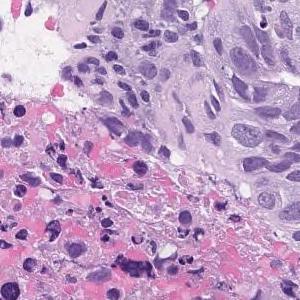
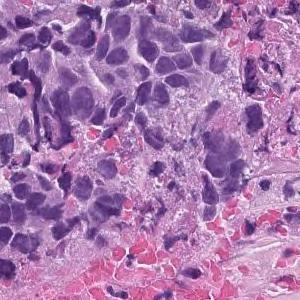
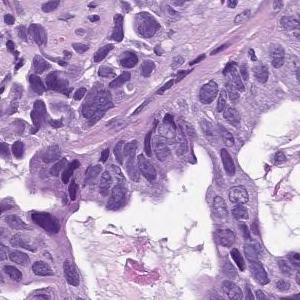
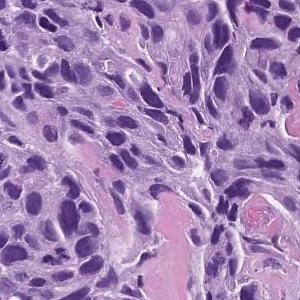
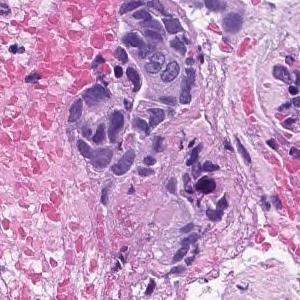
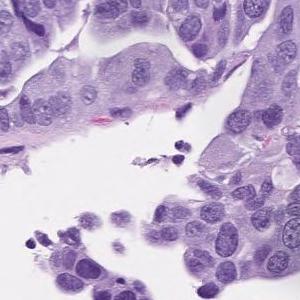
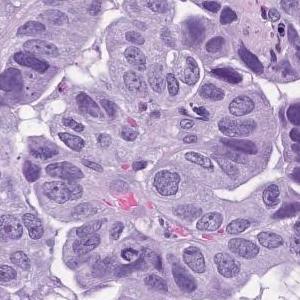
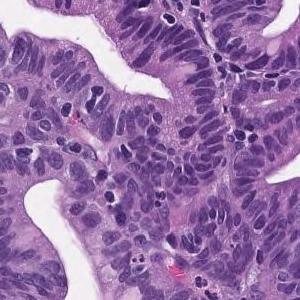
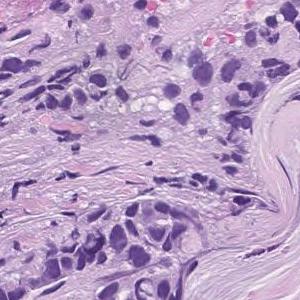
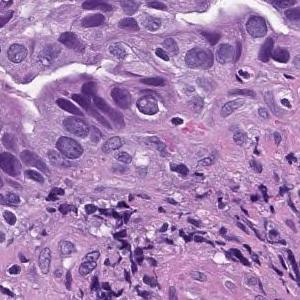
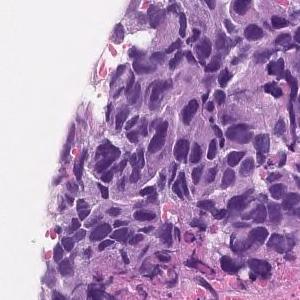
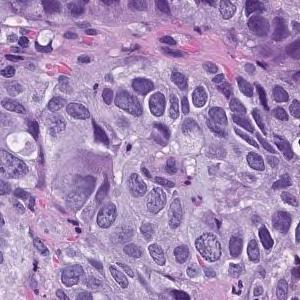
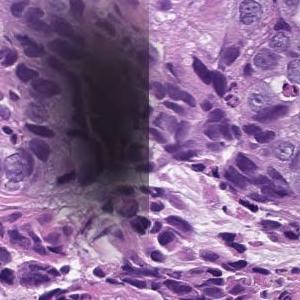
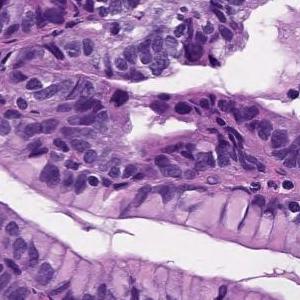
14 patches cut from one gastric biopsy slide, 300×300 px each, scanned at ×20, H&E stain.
Report on the slide these tiles come from. The report and the diagnosis describe the slide as a whole, so these tiles may not show every feature named and may include non-tumor tissue.
In the superficial epithelium, tumor tissue that invades by forming medium-sized to small, irregular ducts is observed. moderately differentiated tubular adenocarcinoma.
